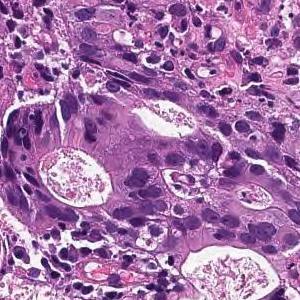
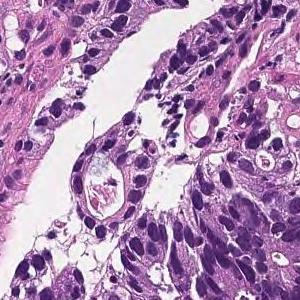
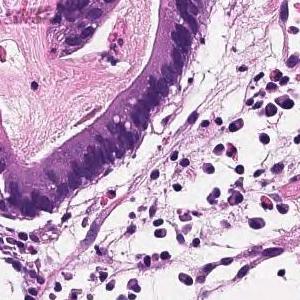
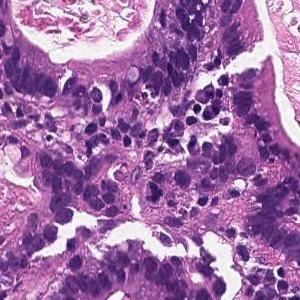
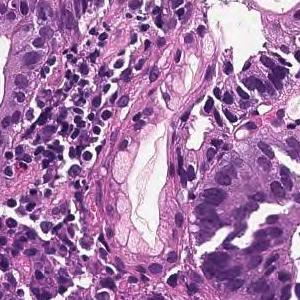
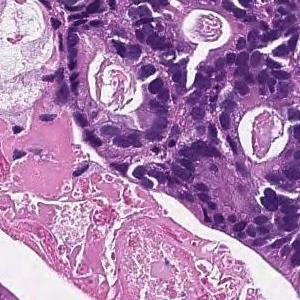
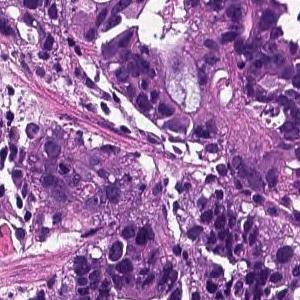
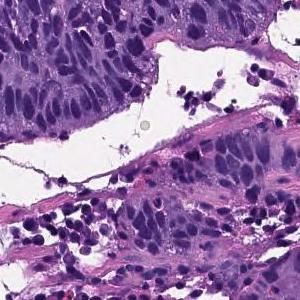
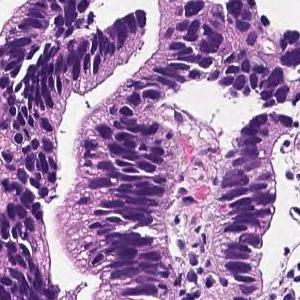
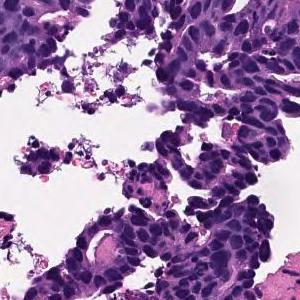
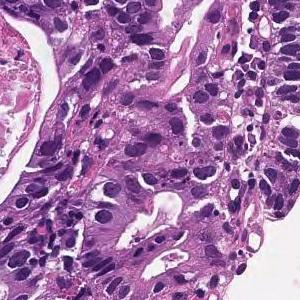
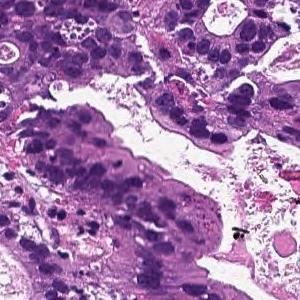
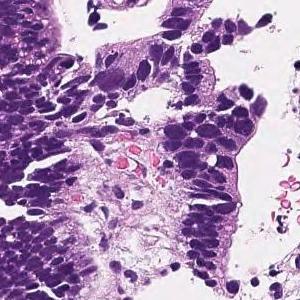
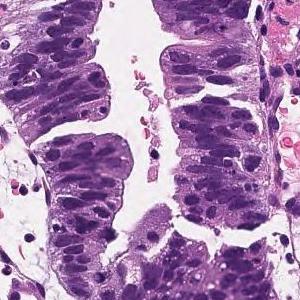
×20, H&E stain, 14 tiles cut from one stomach biopsy slide, 300 × 300 pixels each.
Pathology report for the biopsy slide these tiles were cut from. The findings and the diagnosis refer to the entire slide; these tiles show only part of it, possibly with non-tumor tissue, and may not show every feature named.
In the superficial epithelium, tumor tissue that invades by forming medium-sized to small, irregular ducts is observed. moderately differentiated tubular adenocarcinoma.
